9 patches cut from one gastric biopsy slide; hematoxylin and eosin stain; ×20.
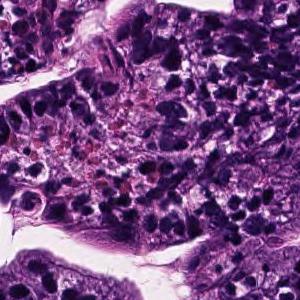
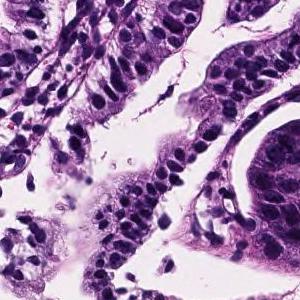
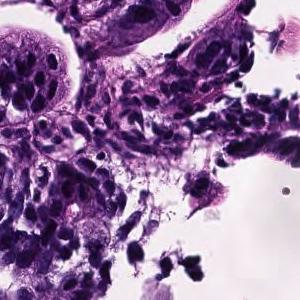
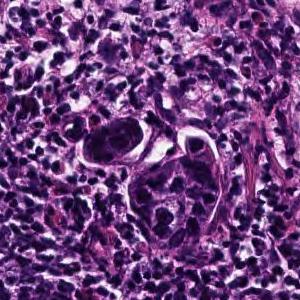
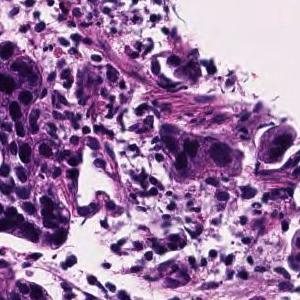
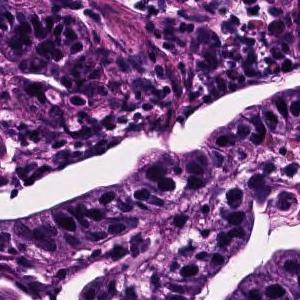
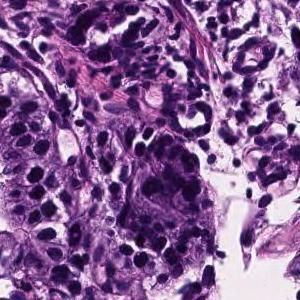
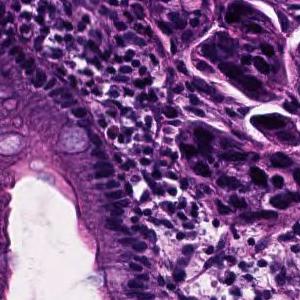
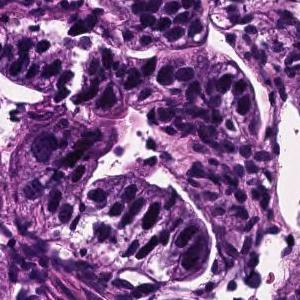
Diagnostic report for the slide these tiles come from. The findings and the diagnosis refer to the entire slide; these tiles show only part of it, possibly with non-tumor tissue, and may not show every feature named.
Tumor tissue consisting of cord-like or small, irregular glandular ducts fused and infiltrated is observed in the superficial epithelium. Poorly differentiated adenocarcinoma, non-solid type
"Non-solid type" is a category of the Japanese Classification of Gastric Carcinoma.
